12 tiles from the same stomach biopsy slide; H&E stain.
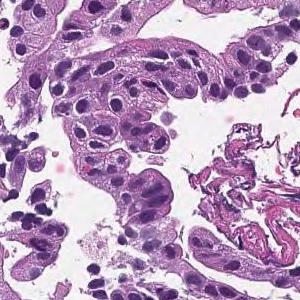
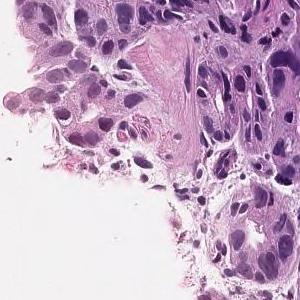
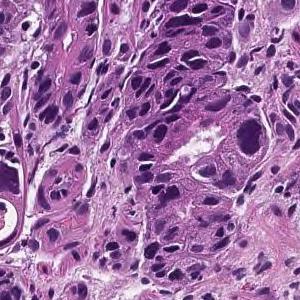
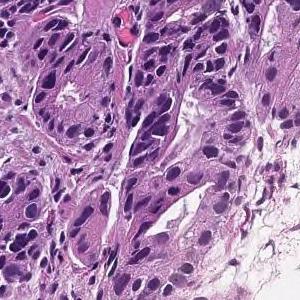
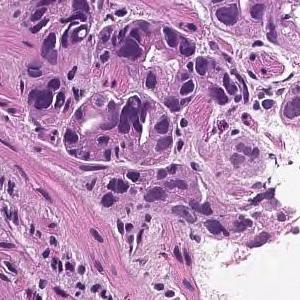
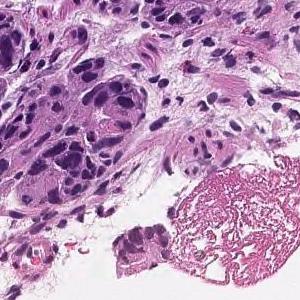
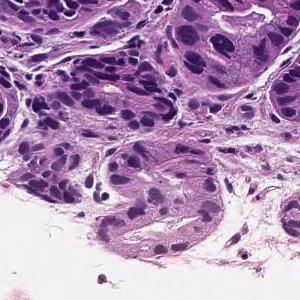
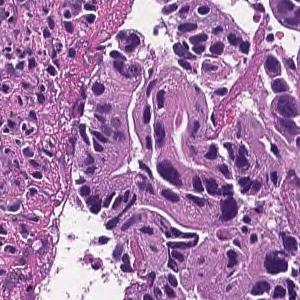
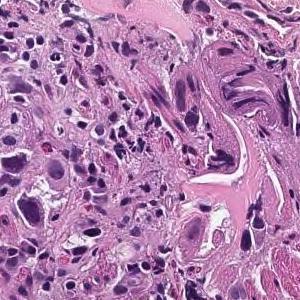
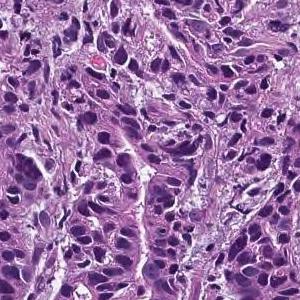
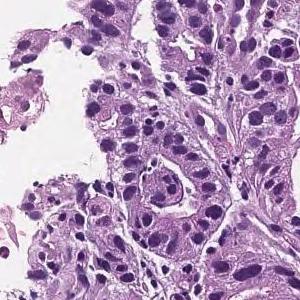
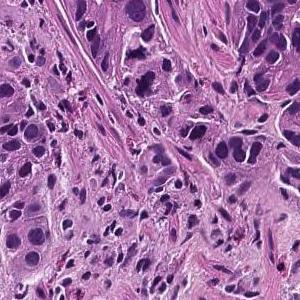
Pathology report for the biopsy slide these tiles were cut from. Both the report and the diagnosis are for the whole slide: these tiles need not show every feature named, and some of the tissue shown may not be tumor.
In the superficial epithelium, tumor tissue that invades by forming medium-sized to small, irregular ducts is observed. moderately differentiated tubular adenocarcinoma.
